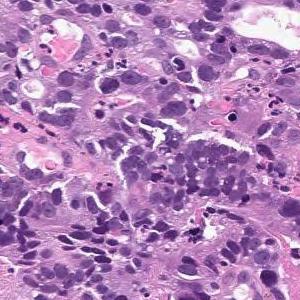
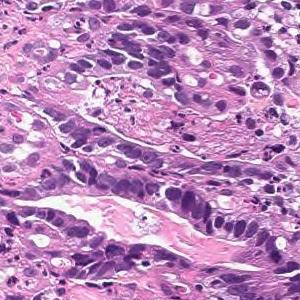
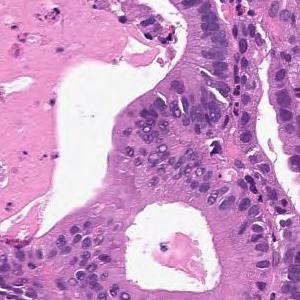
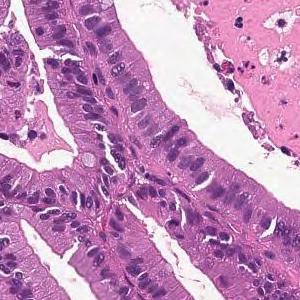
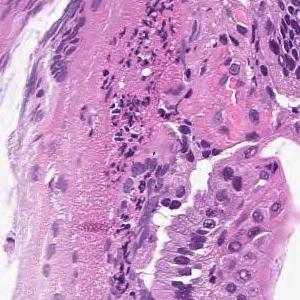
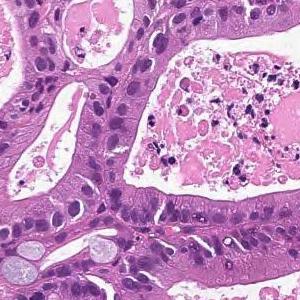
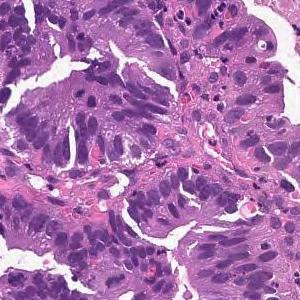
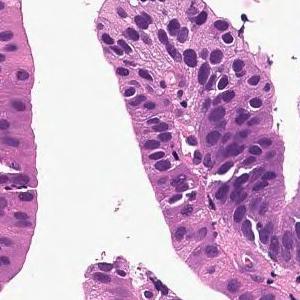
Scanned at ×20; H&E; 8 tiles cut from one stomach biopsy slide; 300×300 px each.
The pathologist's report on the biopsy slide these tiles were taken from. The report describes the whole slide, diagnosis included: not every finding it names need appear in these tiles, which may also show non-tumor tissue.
From the superficial epithelium to the muscularis mucosae, tumor tissue consisting of medium-sized and irregular glandular ducts infiltrating is observed. Well differentiated tubular adenocarcinoma
